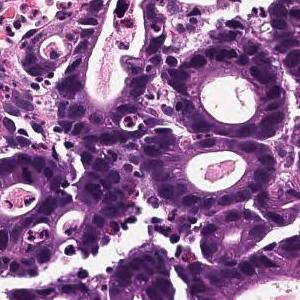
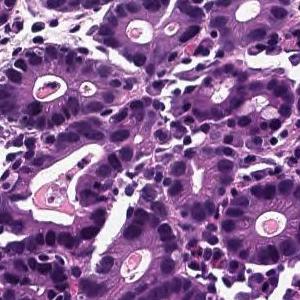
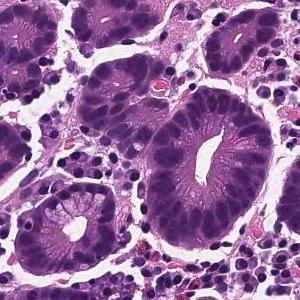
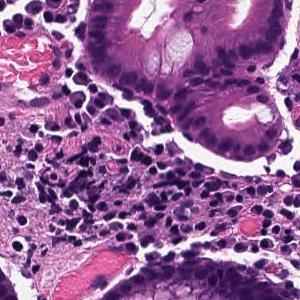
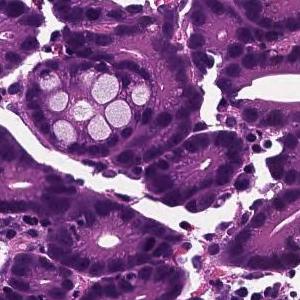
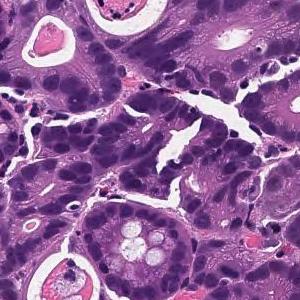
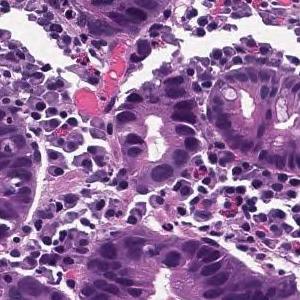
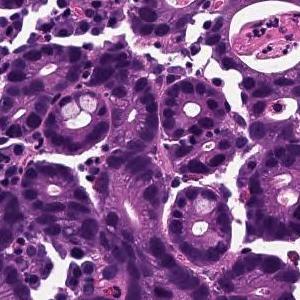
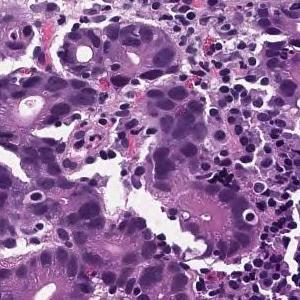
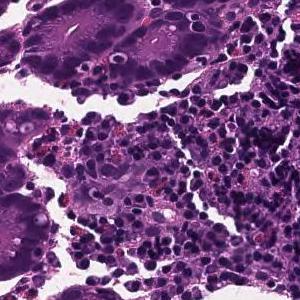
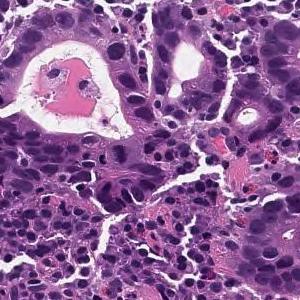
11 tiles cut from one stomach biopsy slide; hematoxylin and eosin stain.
Pathology report for the biopsy slide these tiles were cut from. The report and the diagnosis cover the entire slide, so not every feature they name need be visible here, and some tissue shown may not be tumor.
Cancer cells with strongly atypical nuclei grow while forming ducts showing lumens of various sizes. moderately differentiated tubular adenocarcinoma
